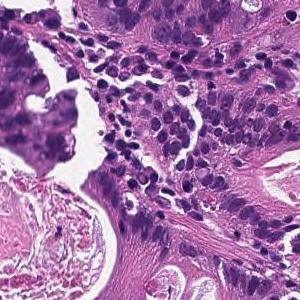
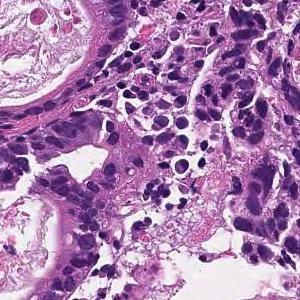
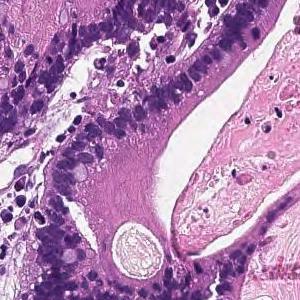
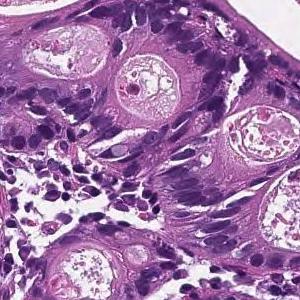
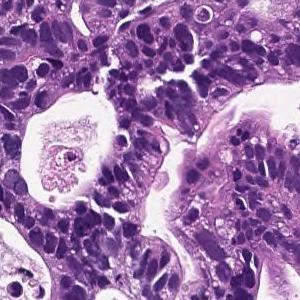
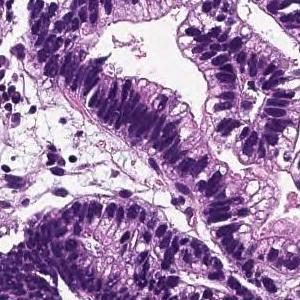
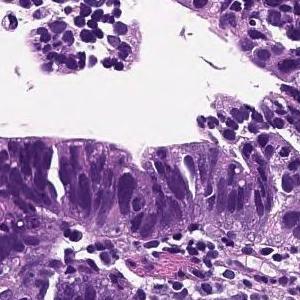
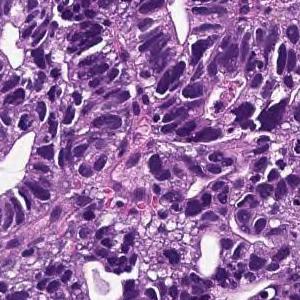
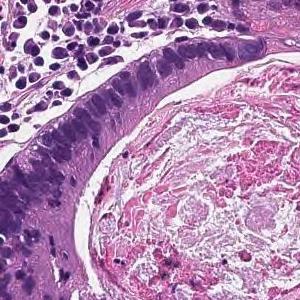
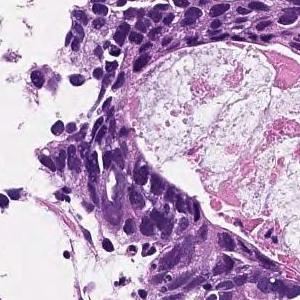
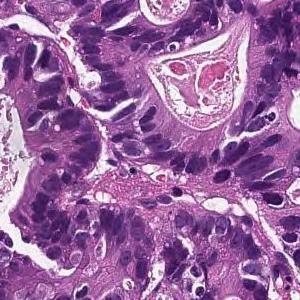
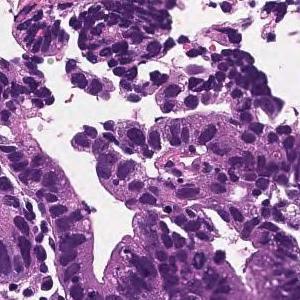
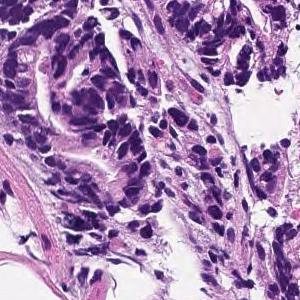
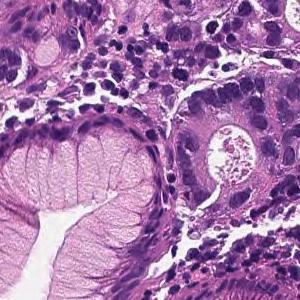
14 tiles cut from one stomach biopsy slide; 300×300 px each.
The pathologist's report on the biopsy slide these tiles were taken from. The report and the diagnosis cover the entire slide, so not every feature they name need be visible here, and some tissue shown may not be tumor.
In the superficial epithelium, tumor tissue that invades by forming medium-sized to small, irregular ducts is observed. moderately differentiated tubular adenocarcinoma.
